Scanned at ×20; hematoxylin and eosin stain; 12 tiles cut from one stomach biopsy slide.
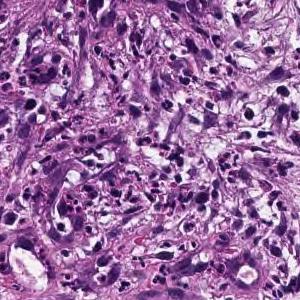
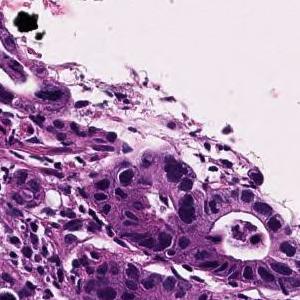
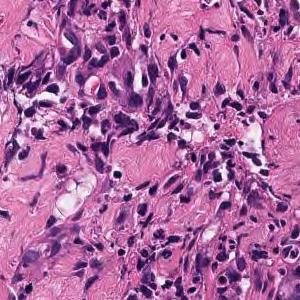
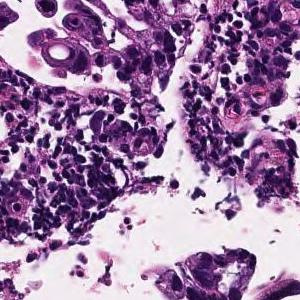
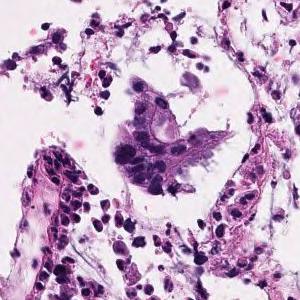
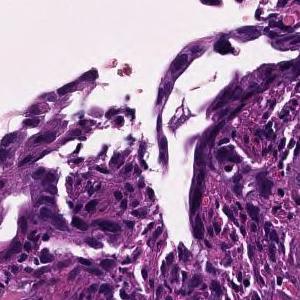
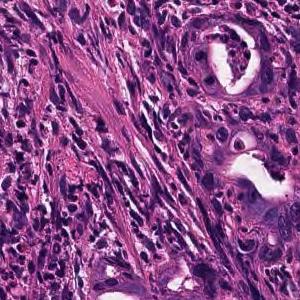
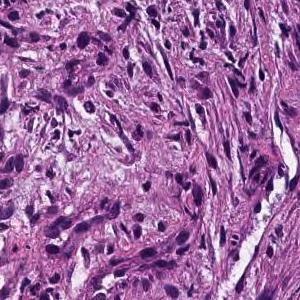
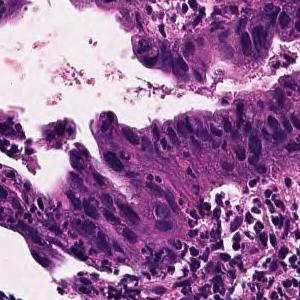
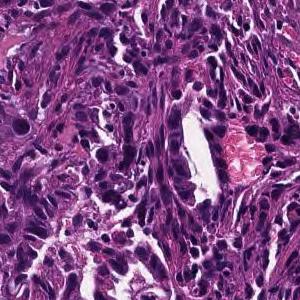
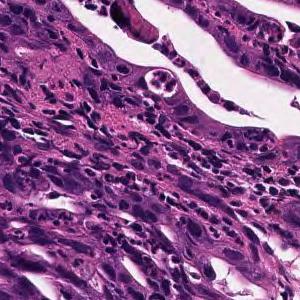
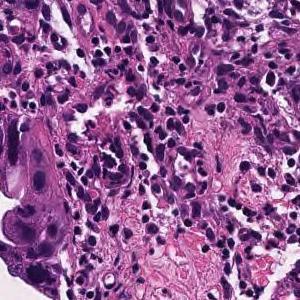
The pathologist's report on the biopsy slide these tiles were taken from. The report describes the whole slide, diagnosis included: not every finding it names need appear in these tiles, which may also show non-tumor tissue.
In the superficial epithelium, medium-sized to small irregular glandular ducts are formed, and in some cases, the glandular ducts are fused or small cord-like infiltrating tumor tissue is observed. moderately differentiated tubular adenocarcinoma
